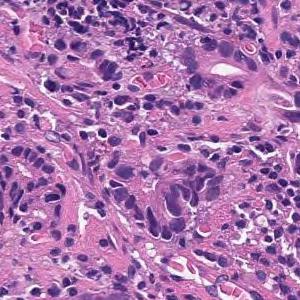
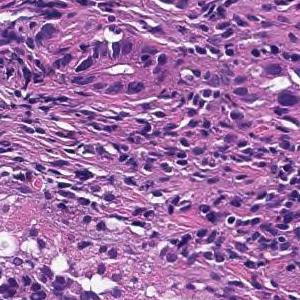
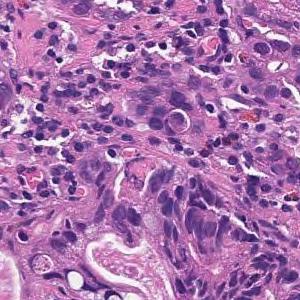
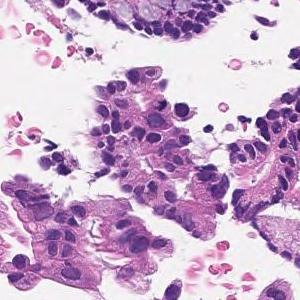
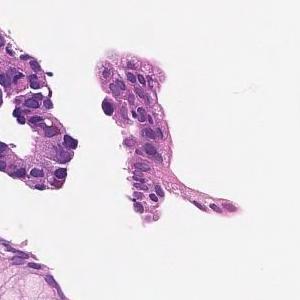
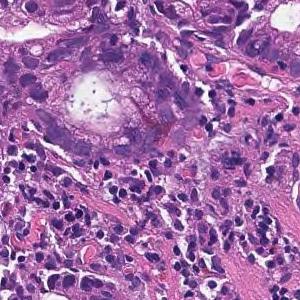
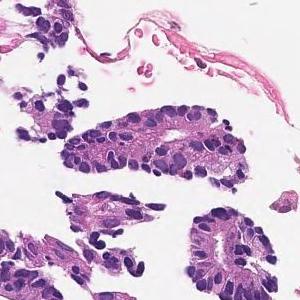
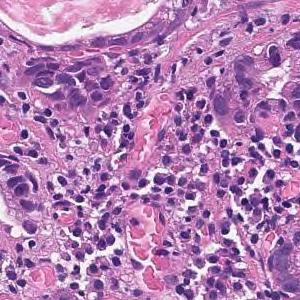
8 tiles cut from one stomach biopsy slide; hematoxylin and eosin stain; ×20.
Report on the slide these tiles come from. The findings and the diagnosis refer to the entire slide; these tiles show only part of it, possibly with non-tumor tissue, and may not show every feature named.
In the superficial epithelium, tumor tissue that invades by forming medium-sized to small, irregular ducts is observed. moderately differentiated tubular adenocarcinoma.
